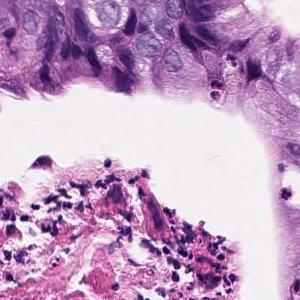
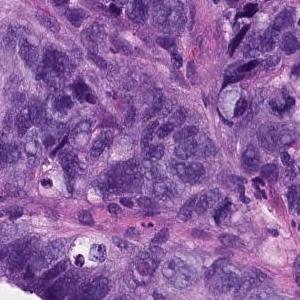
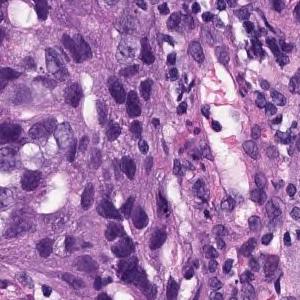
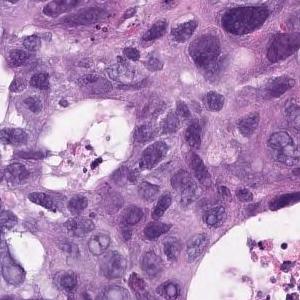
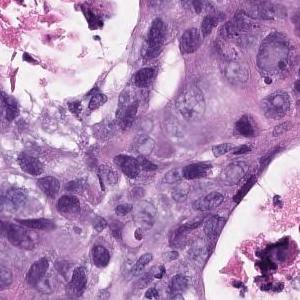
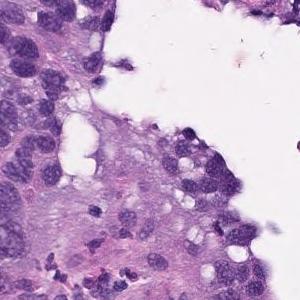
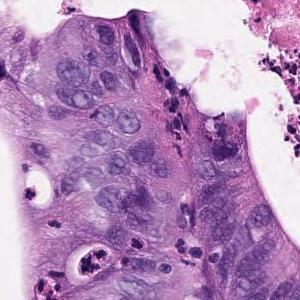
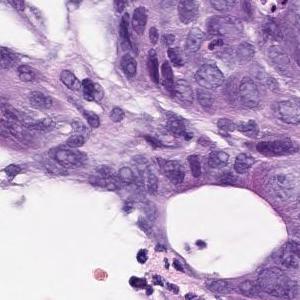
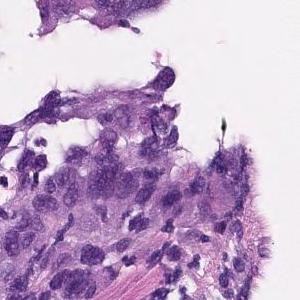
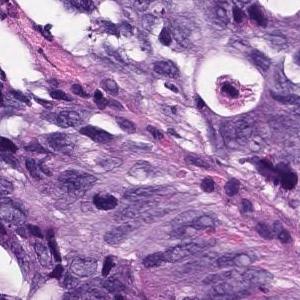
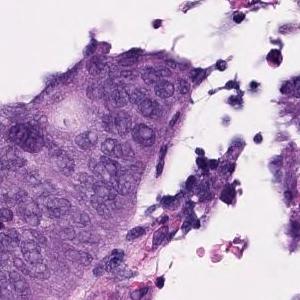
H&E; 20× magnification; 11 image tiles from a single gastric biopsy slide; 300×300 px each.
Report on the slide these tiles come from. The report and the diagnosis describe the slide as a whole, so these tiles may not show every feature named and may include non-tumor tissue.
In the superficial epithelium, tumor tissue that invades by forming medium-sized to small, irregular ducts is observed. Moderately differentiated adenocarcinoma.
Subtype: Moderately differentiated tubular adenocarcinoma.
